14 image tiles from a single gastric biopsy slide, 300 × 300 pixels each, ×20.
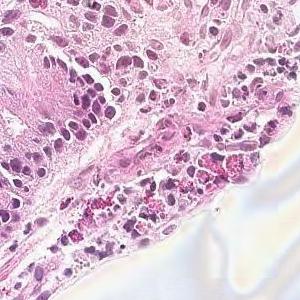
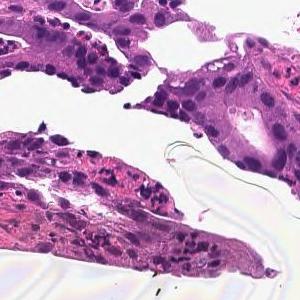
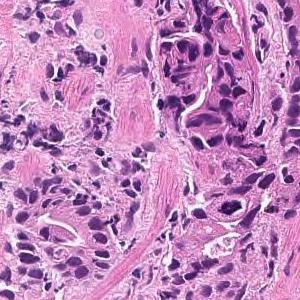
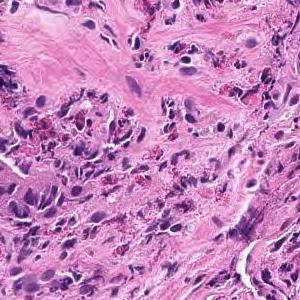
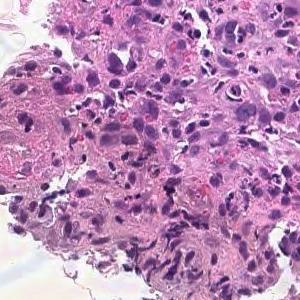
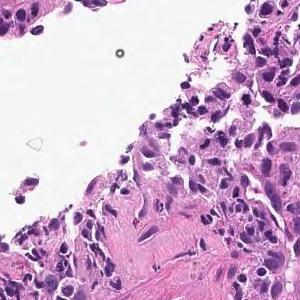
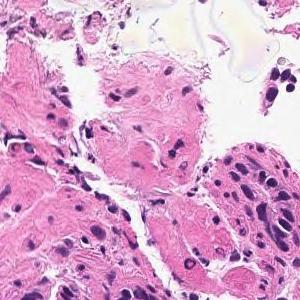
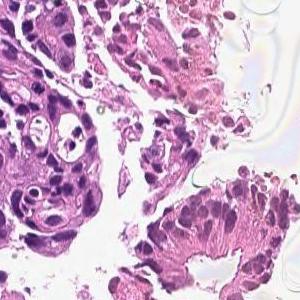
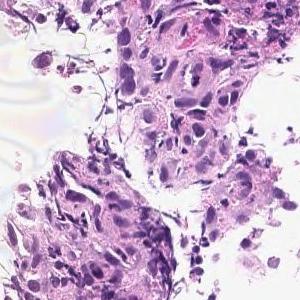
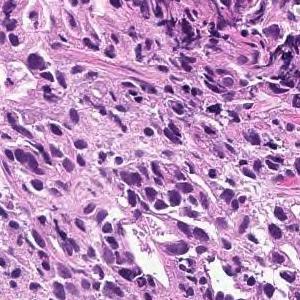
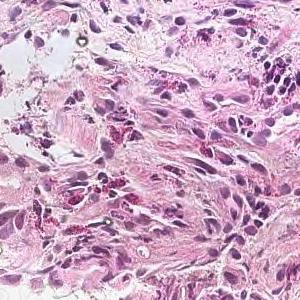
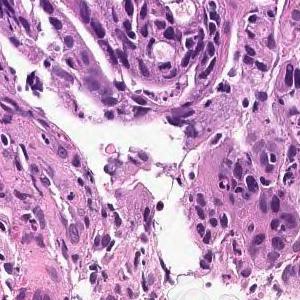
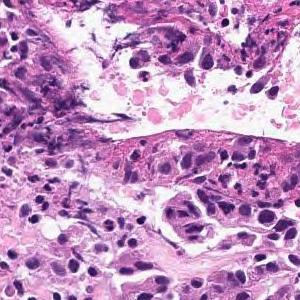
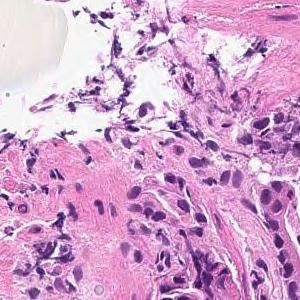
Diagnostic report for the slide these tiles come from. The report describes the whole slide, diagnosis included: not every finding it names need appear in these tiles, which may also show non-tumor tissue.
On the superficial epithelium, tumor tissue consisting of large irregular glandular ducts partially fused and infiltrated is observed. Well to moderately differentiated tubular adenocarcinoma (well differentiated tubular adenocarcinoma, moderately differentiated tubular adenocarcinoma)
Subtype: Well to moderately differentiated tubular adenocarcinoma.
